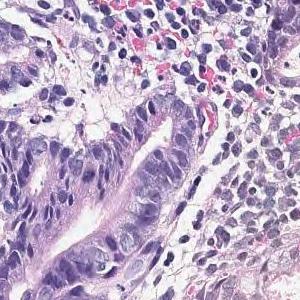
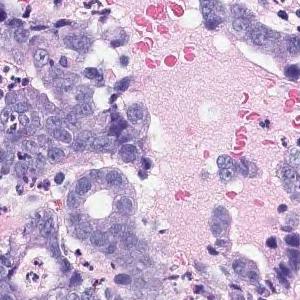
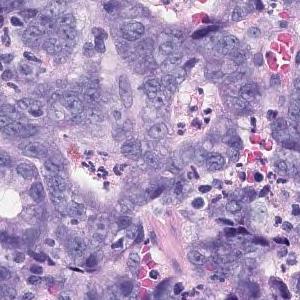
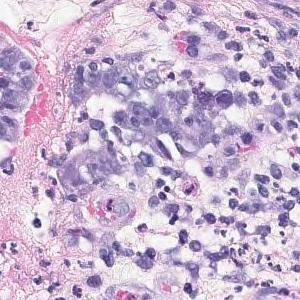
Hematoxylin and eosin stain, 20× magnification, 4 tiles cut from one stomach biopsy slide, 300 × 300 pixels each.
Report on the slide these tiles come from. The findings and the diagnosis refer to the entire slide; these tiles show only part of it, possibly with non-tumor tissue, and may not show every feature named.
In the superficial epithelium, tumor tissue that invades by forming medium-sized to small, irregular ducts is observed. Moderately differentiated adenocarcinoma.
Histologic type: Moderately differentiated tubular adenocarcinoma.
